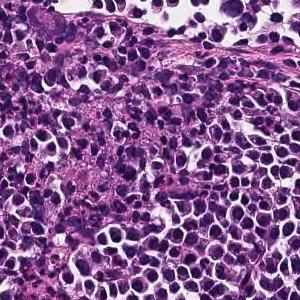
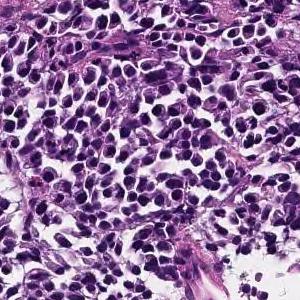
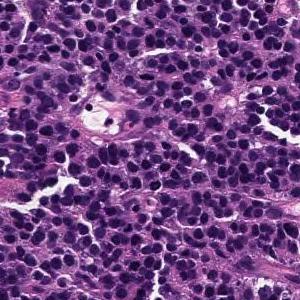
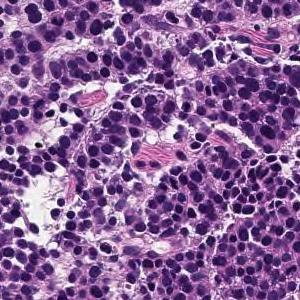
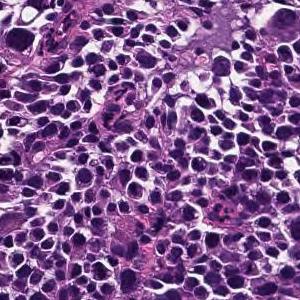
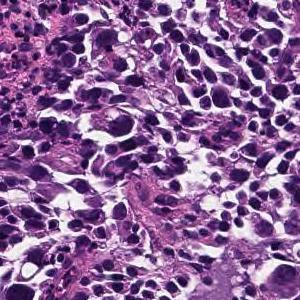
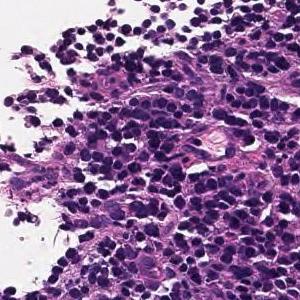
7 image tiles from a single gastric biopsy slide · 300×300 px each.
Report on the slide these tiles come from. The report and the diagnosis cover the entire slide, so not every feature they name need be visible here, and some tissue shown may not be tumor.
Large sheet-like or diffusely infiltrating tumor tissue is found in the superficial epithelium. Poorly differentiated adenocarcinoma, solid-type
Histological subtype: Poorly differentiated adenocarcinoma, solid type. This name comes from the Japanese Classification of Gastric Carcinoma; the WHO 2019 classification calls it tubular adenocarcinoma, poorly differentiated.
